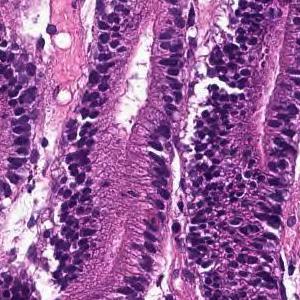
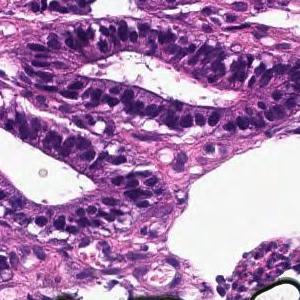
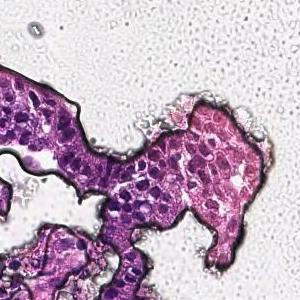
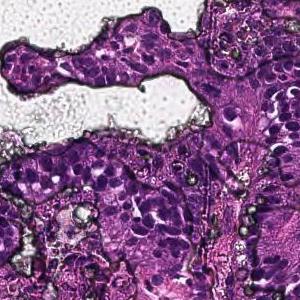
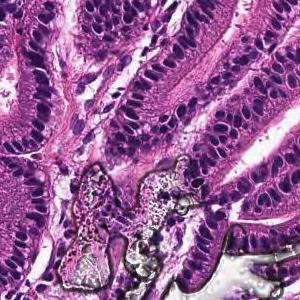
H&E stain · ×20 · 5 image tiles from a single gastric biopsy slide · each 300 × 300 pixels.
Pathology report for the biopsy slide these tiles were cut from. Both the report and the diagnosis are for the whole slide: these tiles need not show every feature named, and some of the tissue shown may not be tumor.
On the superficial epithelium, tumor tissue that infiltrates by forming medium-sized round or small irregular ducts is observed. Papillary adenocarcinoma
